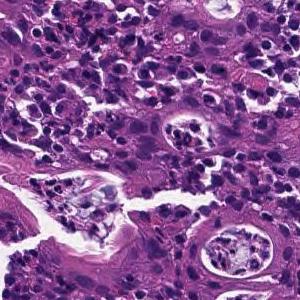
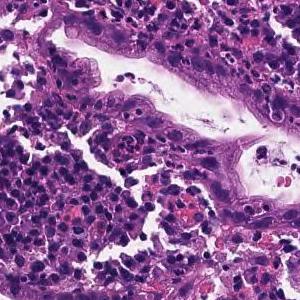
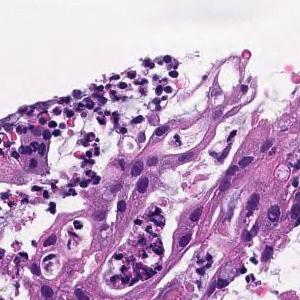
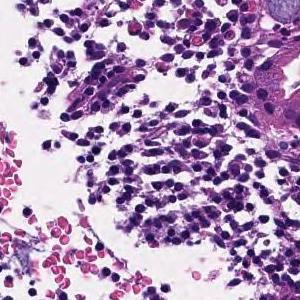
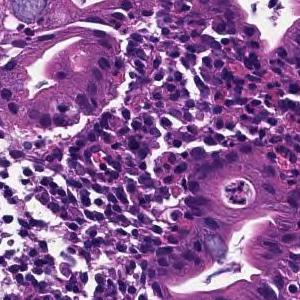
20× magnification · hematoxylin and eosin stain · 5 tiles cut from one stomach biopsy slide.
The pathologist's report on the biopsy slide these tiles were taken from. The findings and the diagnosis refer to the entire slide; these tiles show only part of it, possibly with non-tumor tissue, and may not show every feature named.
In the superficial epithelium, tumor tissue that invades by forming medium-sized to small, irregular ducts is observed. moderately differentiated tubular adenocarcinoma.
